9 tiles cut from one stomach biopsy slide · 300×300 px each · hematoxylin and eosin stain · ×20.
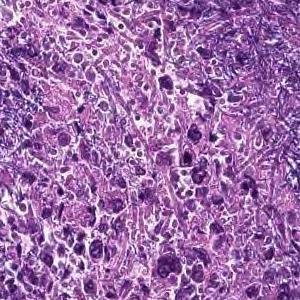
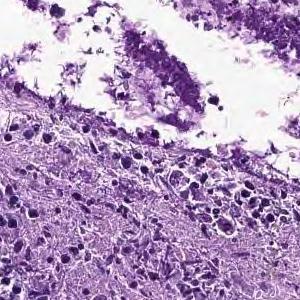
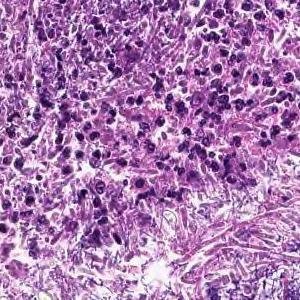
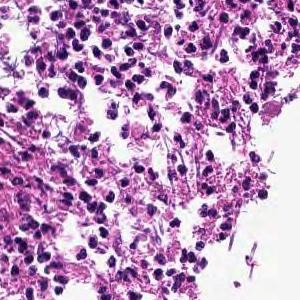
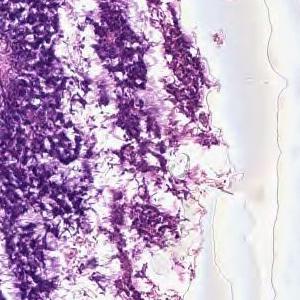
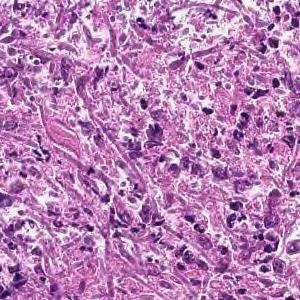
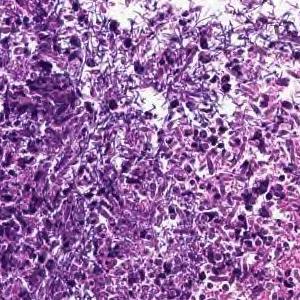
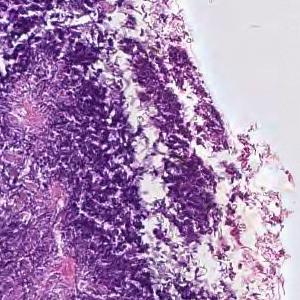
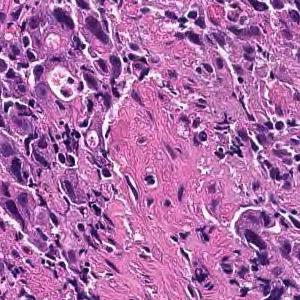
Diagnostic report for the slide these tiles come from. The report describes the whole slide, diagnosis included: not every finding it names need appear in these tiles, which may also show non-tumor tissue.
Cancers with polygonal nuclei do not show glandular formation and are densely, in part, cord-like and proliferate. Poorly differentiated adenocarcinoma
Histological subtype: Poorly differentiated adenocarcinoma, non-solid type.
"Non-solid type" is a category of the Japanese Classification of Gastric Carcinoma.
